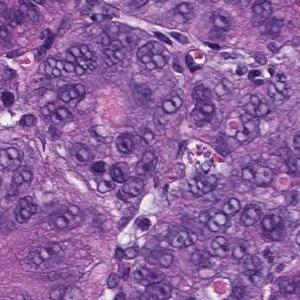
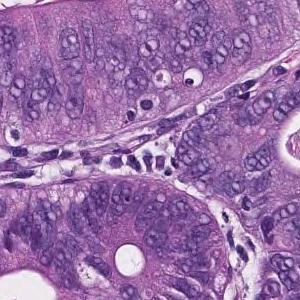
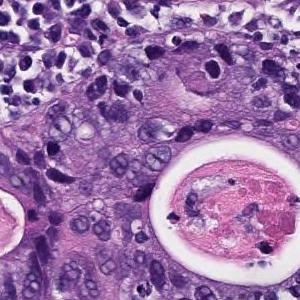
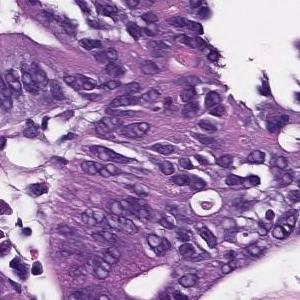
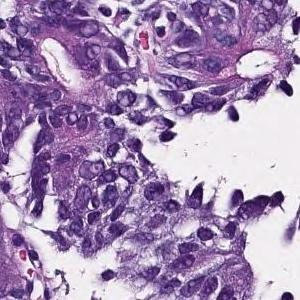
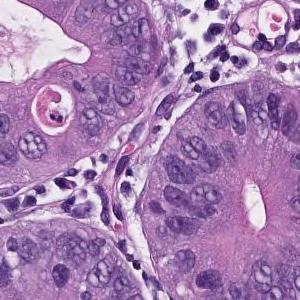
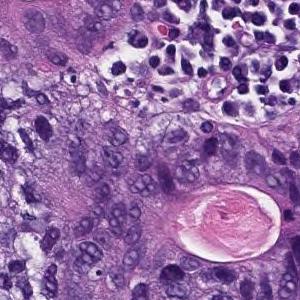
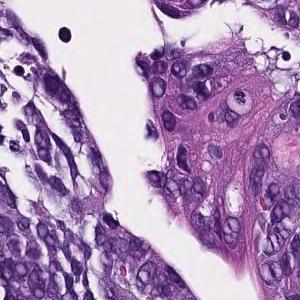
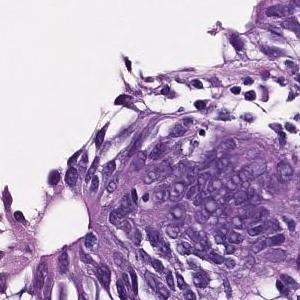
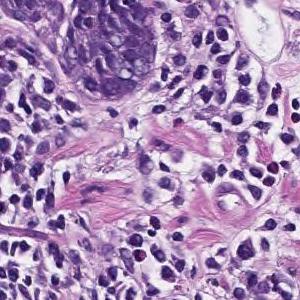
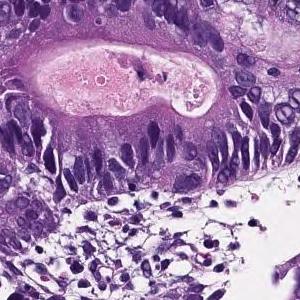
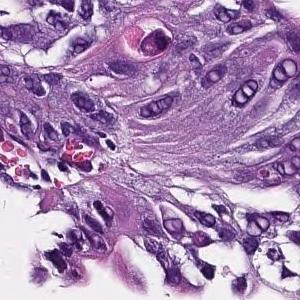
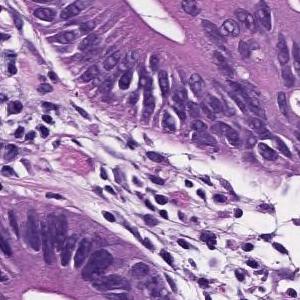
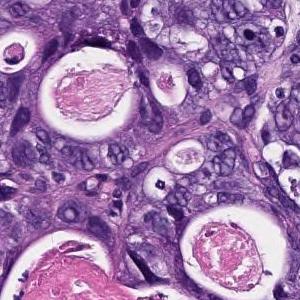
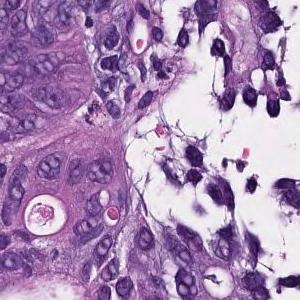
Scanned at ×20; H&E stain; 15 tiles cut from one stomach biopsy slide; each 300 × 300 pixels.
Pathology report for the biopsy slide these tiles were cut from. The report and the diagnosis describe the slide as a whole, so these tiles may not show every feature named and may include non-tumor tissue.
In the superficial epithelium, tumor tissue that invades by forming medium-sized to small, irregular ducts is observed. moderately differentiated tubular adenocarcinoma.
